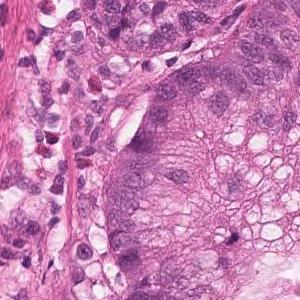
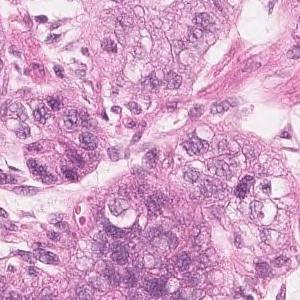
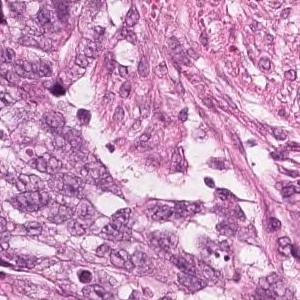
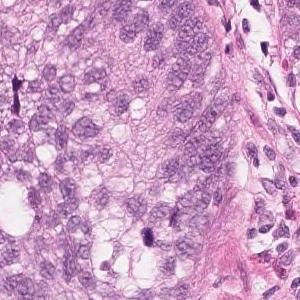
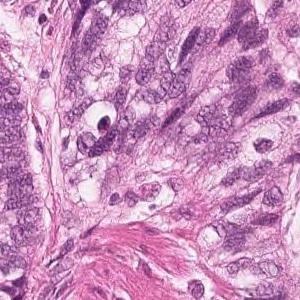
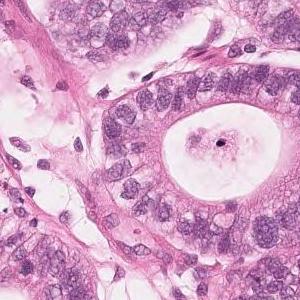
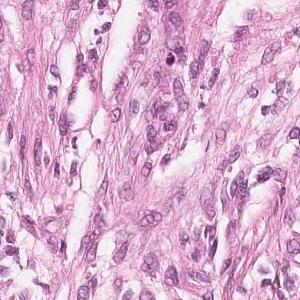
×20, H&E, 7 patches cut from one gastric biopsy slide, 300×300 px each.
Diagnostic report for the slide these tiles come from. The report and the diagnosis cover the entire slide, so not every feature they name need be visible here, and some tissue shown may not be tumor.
Highly columnar epithelium with disordered nuclear localization proliferates showing fusion ductal construction. moderately differentiated tubular adenocarcinoma
